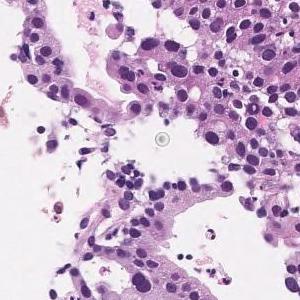
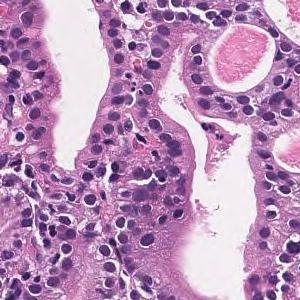
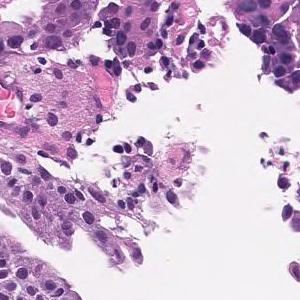
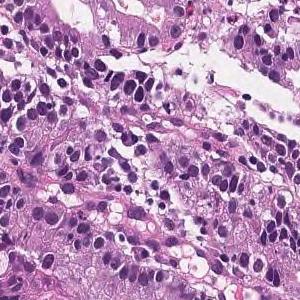
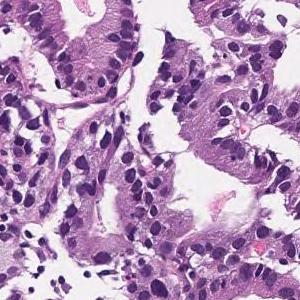
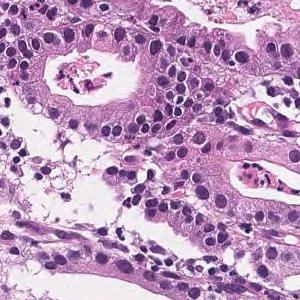
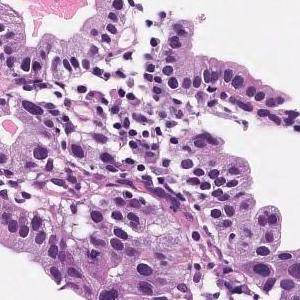
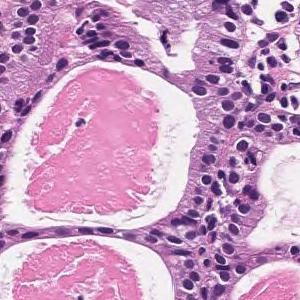
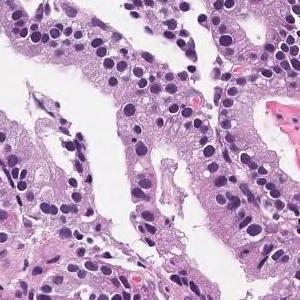
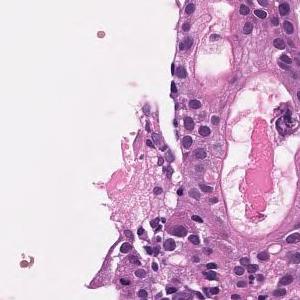
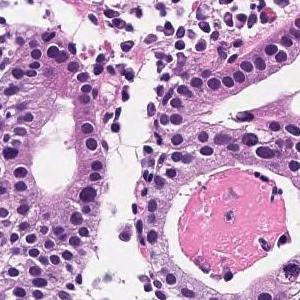
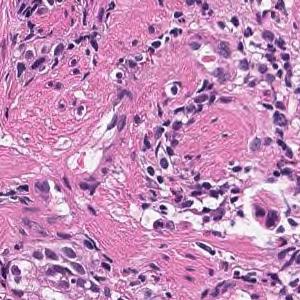
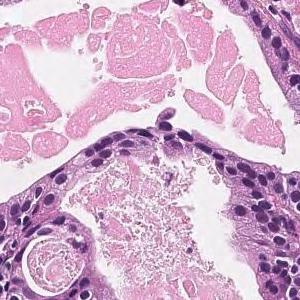
13 patches cut from one gastric biopsy slide, 300×300 px each.
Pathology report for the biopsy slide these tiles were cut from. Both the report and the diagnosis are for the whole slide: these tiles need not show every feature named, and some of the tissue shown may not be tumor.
Medium to small, irregular glandular ducts are formed in the superficial epithelium, and in some cases, the glandular ducts are fused to show solid alveolar lesions and infiltrating tumor tissue is observed. Moderately to poorly differentiated adenocarcinoma.
